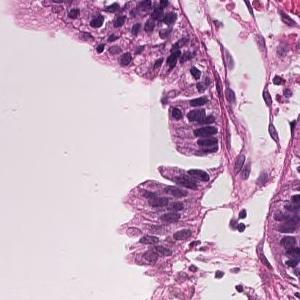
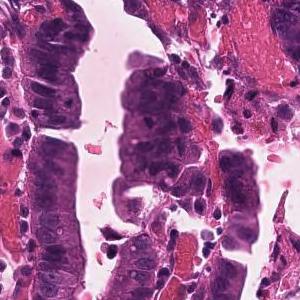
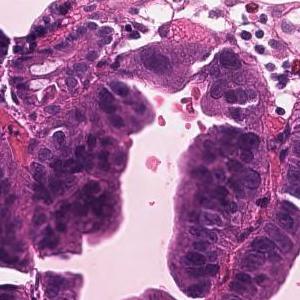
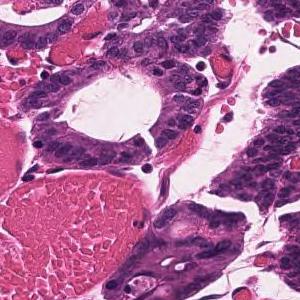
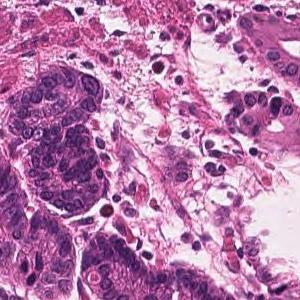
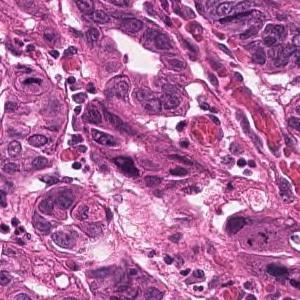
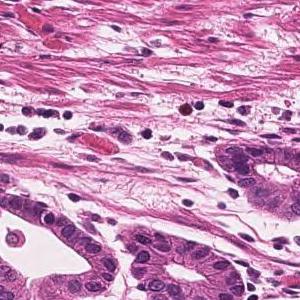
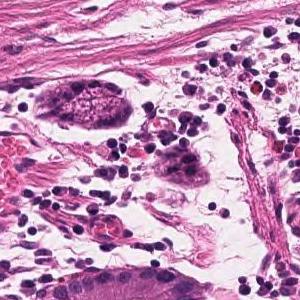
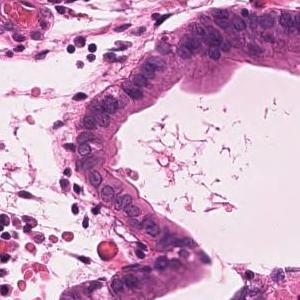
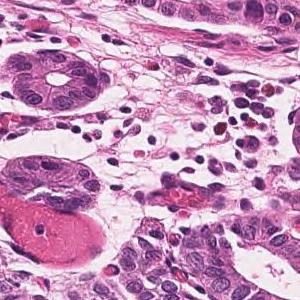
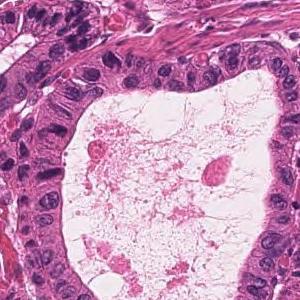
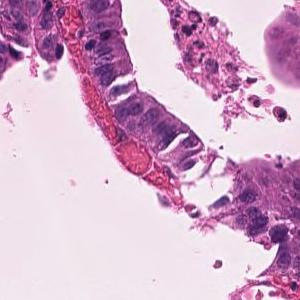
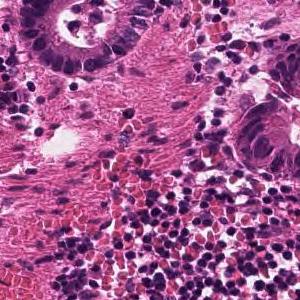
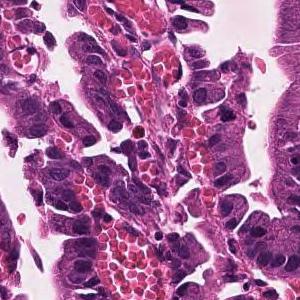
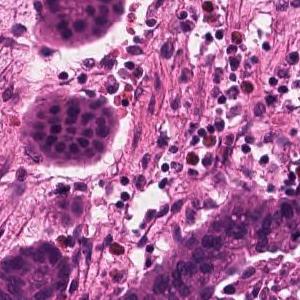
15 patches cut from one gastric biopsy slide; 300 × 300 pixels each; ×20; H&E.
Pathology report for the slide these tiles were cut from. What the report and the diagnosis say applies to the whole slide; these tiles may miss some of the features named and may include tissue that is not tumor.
Infiltrating tumor tissue with medium-sized, irregular ductal structure or large papillary appearance is observed. Well differentiated tubular adenocarcinoma
